8 tiles from the same stomach biopsy slide; 300×300 px each; ×20.
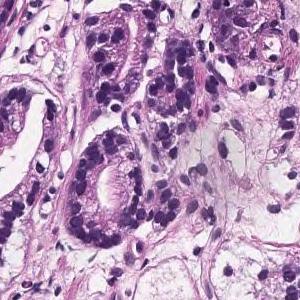
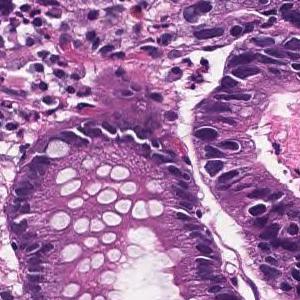
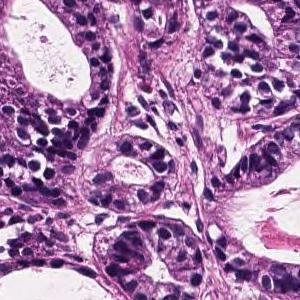
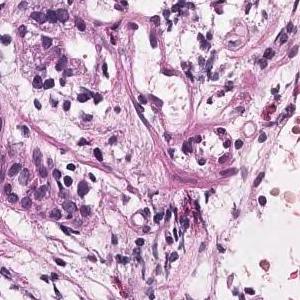
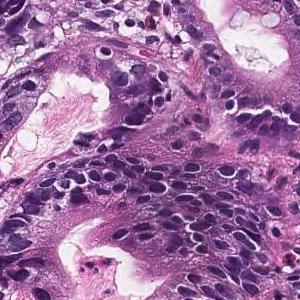
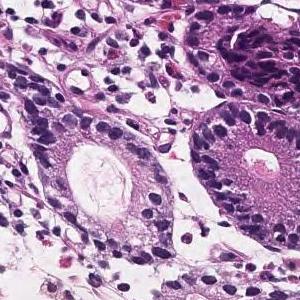
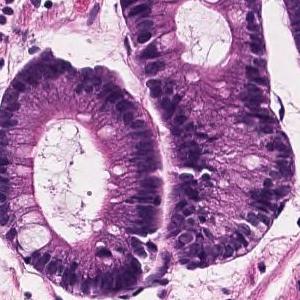
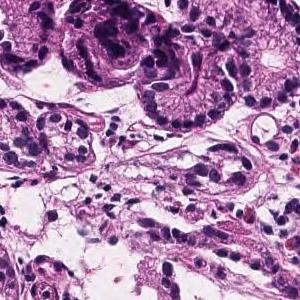
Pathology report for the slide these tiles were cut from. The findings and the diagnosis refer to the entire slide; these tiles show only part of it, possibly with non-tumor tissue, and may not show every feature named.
Tumor tissue consisting of medium-sized and irregular ducts is observed infiltrating in the superficial epithelium. Tumor cells are highly columnar, with nuclei aligned basolaterally and polarized. Well differentiated tubular adenocarcinoma.
